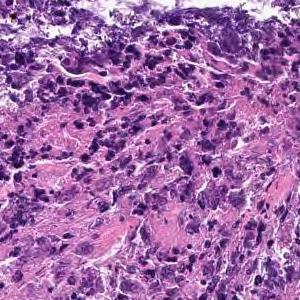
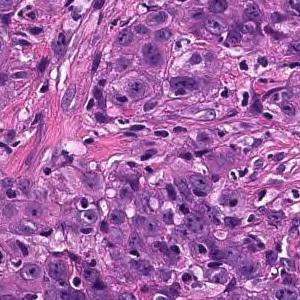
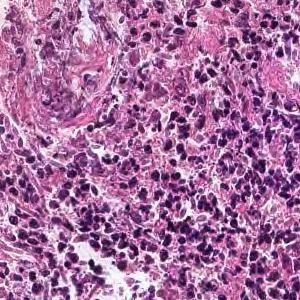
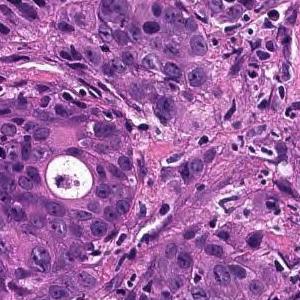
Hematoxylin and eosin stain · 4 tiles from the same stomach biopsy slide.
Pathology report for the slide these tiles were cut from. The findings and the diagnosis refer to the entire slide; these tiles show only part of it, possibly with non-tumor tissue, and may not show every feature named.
Cancers with polygonal nuclei do not show glandular formation and are densely, in part, cord-like and proliferate. Poorly differentiated adenocarcinoma
Histological subtype: Poorly differentiated adenocarcinoma, non-solid type.
The non-solid type named here is a Japanese Classification of Gastric Carcinoma category.
